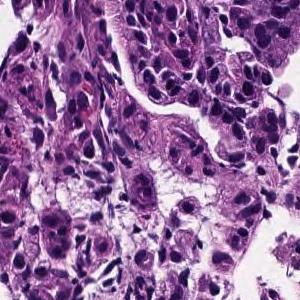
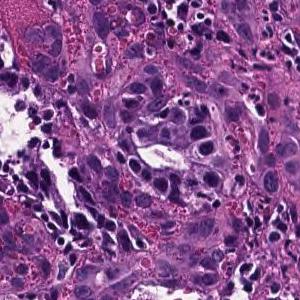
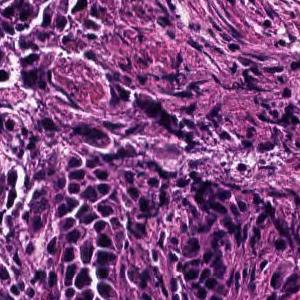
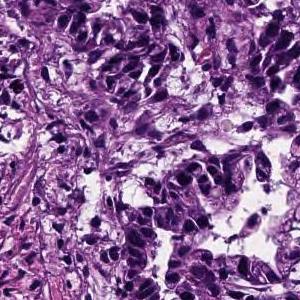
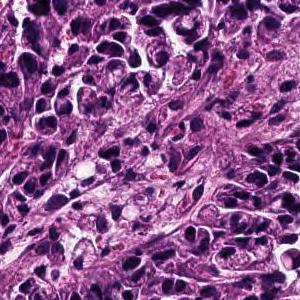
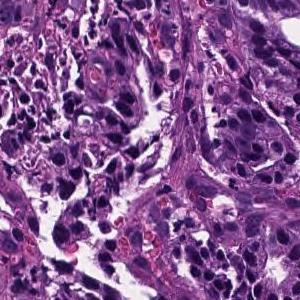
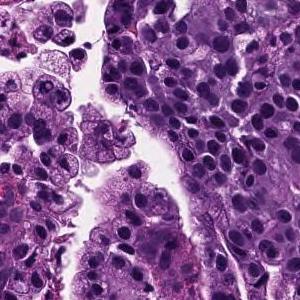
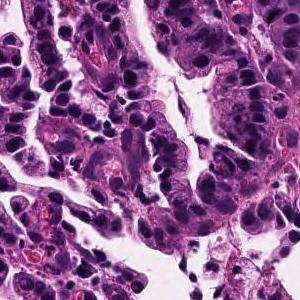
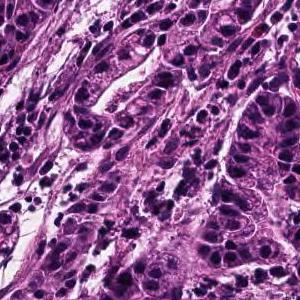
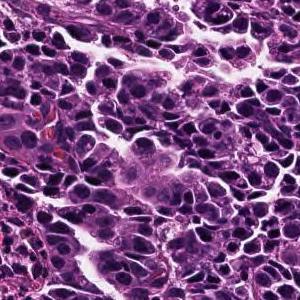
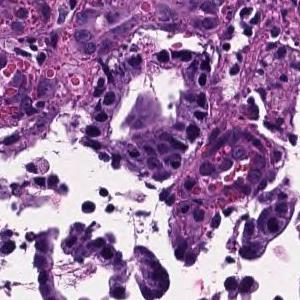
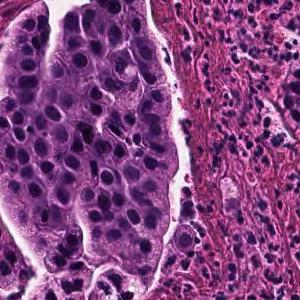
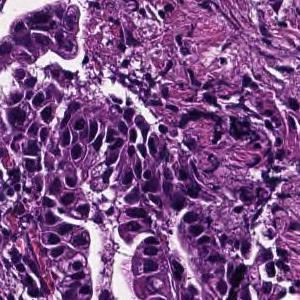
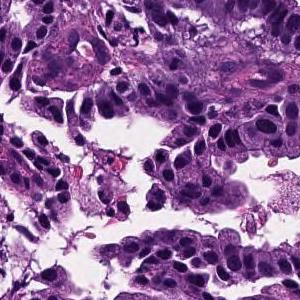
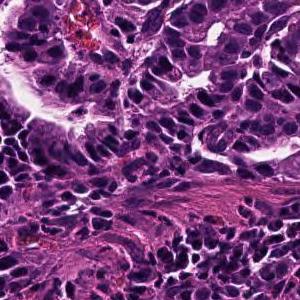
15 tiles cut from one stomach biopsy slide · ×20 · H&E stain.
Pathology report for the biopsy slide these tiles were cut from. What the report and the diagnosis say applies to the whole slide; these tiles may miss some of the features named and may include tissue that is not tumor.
Tumor cells are large, highly columnar, large club-shaped nuclei, and are associated with chromatin aggregation. Papillary adenocarcinoma.
